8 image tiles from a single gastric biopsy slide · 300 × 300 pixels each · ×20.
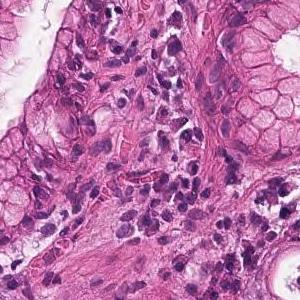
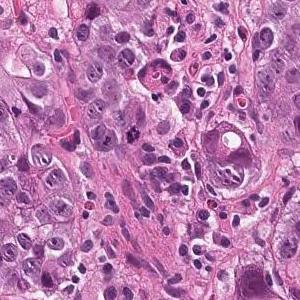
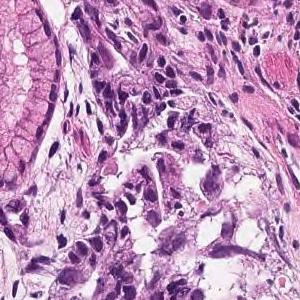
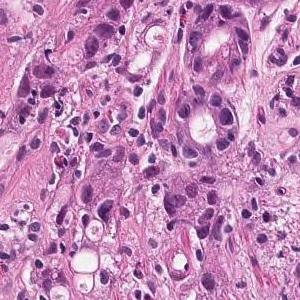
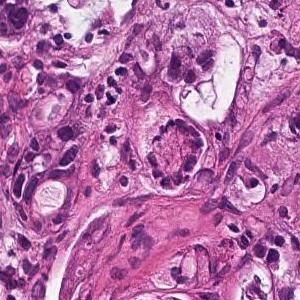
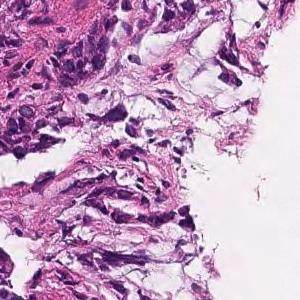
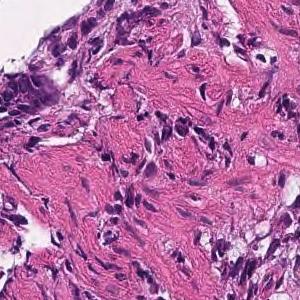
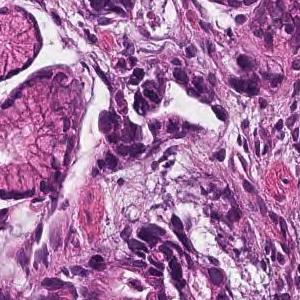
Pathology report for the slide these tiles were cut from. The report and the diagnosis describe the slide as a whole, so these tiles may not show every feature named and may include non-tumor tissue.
In the gastric mucosal tissue, tumor tissue that forms irregular glandular cavities of medium to small size or shows small cords and infiltrates is observed. moderately differentiated tubular adenocarcinoma
